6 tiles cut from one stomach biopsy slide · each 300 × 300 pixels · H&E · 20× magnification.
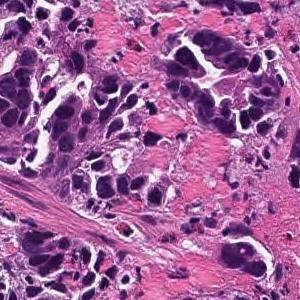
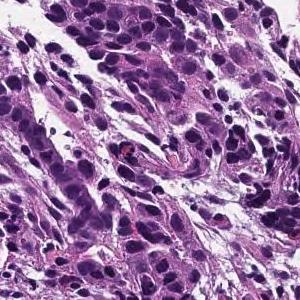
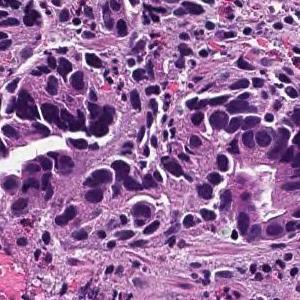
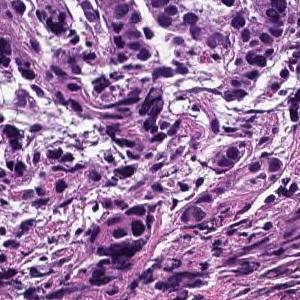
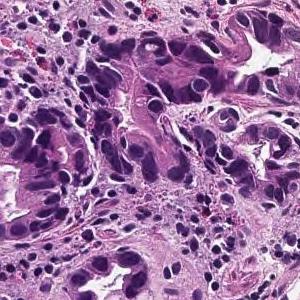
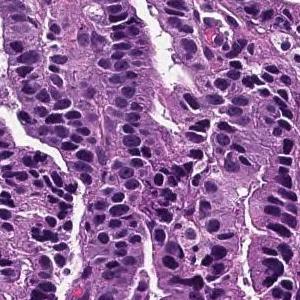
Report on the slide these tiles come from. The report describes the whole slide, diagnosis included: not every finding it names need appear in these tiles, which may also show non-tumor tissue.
In the superficial epithelium, tumor tissue that invades by forming medium-sized to small, irregular ducts is observed. moderately differentiated tubular adenocarcinoma.
